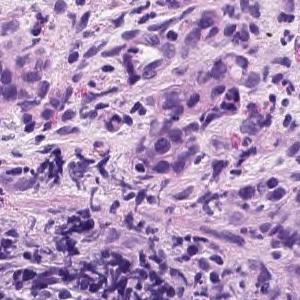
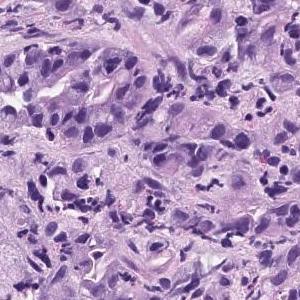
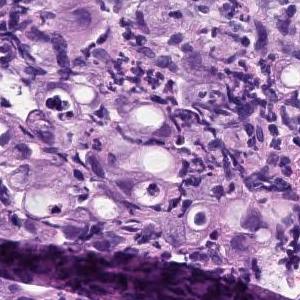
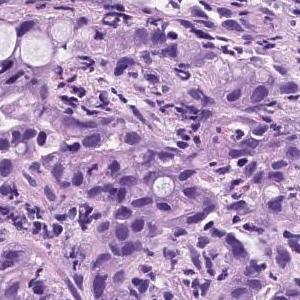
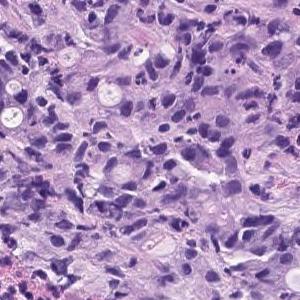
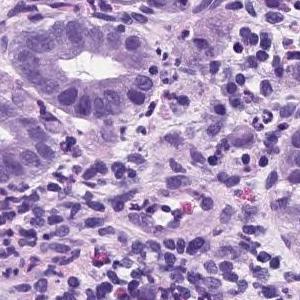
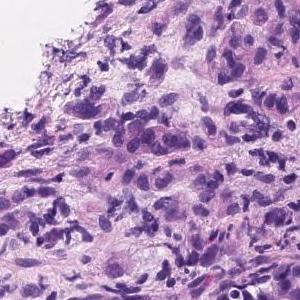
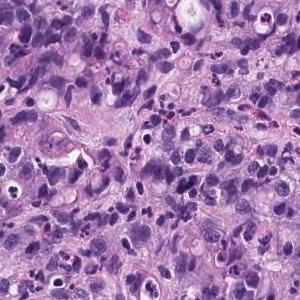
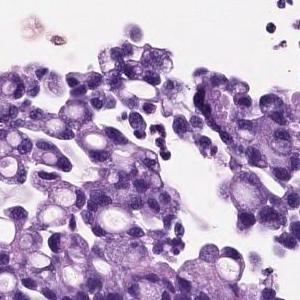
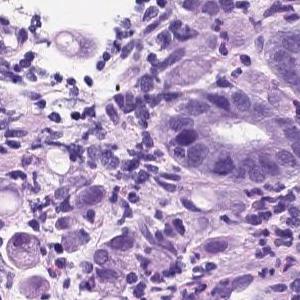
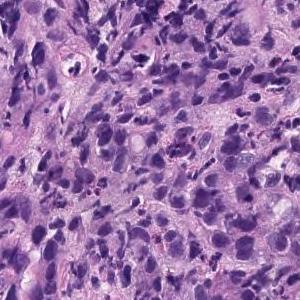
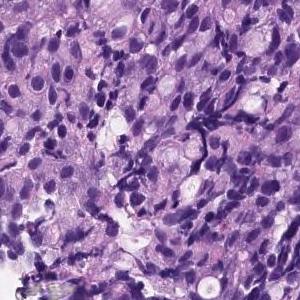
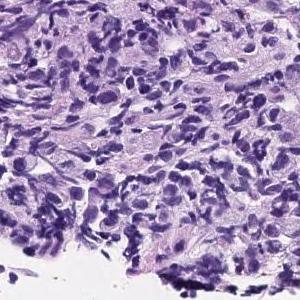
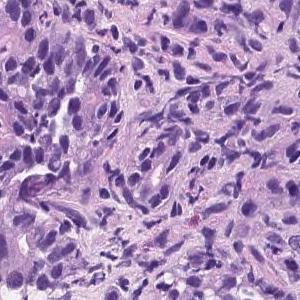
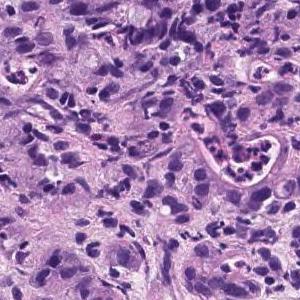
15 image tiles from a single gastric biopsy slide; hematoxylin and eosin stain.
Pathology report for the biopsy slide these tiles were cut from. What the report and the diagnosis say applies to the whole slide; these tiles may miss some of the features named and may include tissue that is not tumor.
Diffusely growing signet-ring cells are found in the lamina propria. Signet ring cell carcinoma.
